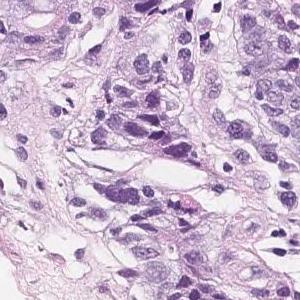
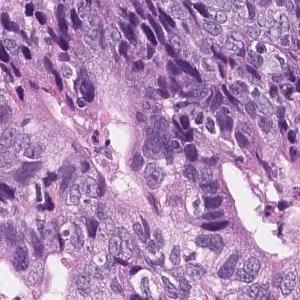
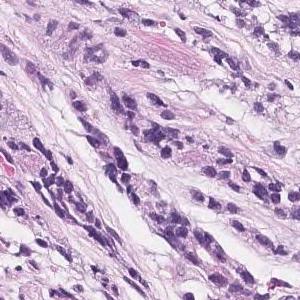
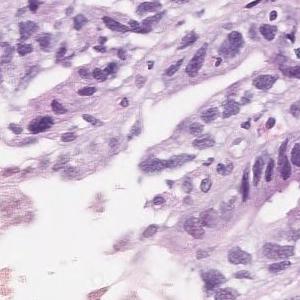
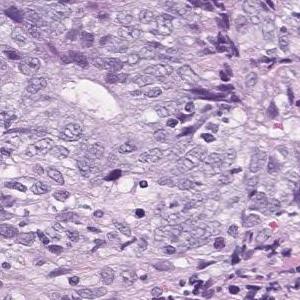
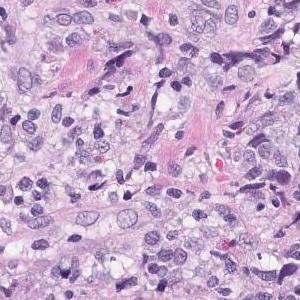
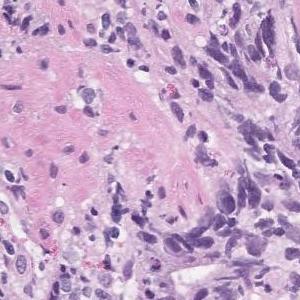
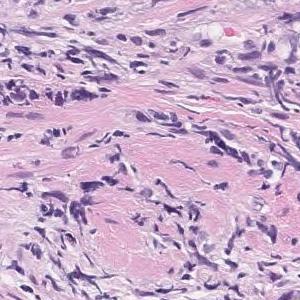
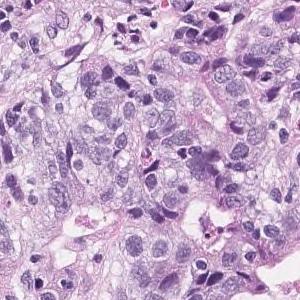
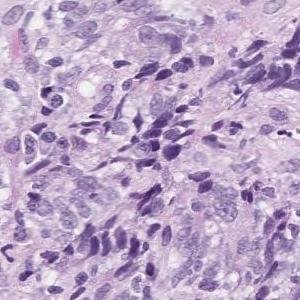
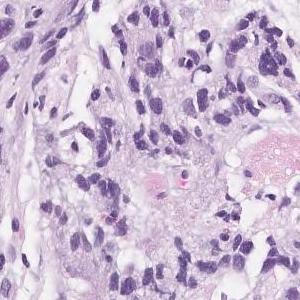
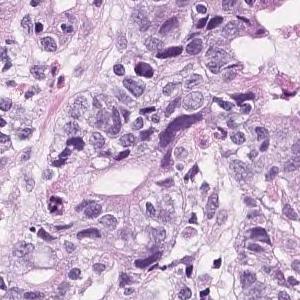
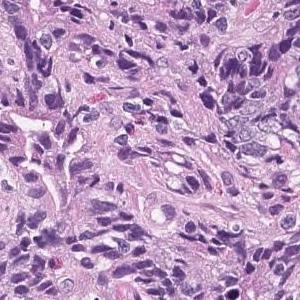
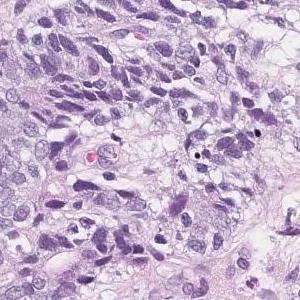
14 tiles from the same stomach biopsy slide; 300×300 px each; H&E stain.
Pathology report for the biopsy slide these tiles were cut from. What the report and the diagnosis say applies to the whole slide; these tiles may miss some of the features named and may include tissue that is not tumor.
Highly columnar epithelium with disordered nuclear localization proliferates showing fusion ductal construction. moderately differentiated tubular adenocarcinoma
